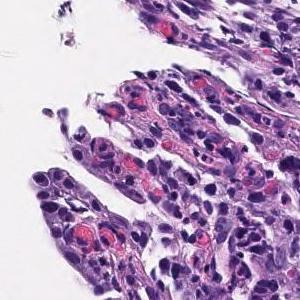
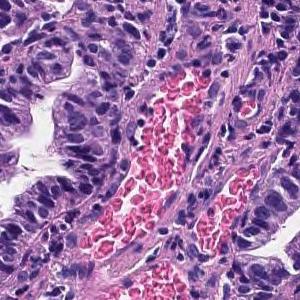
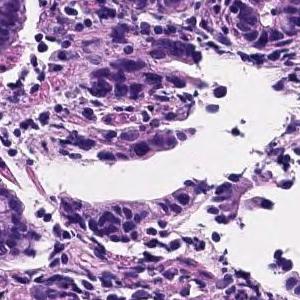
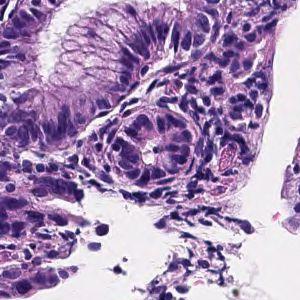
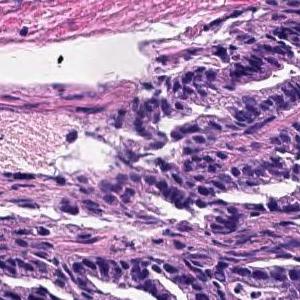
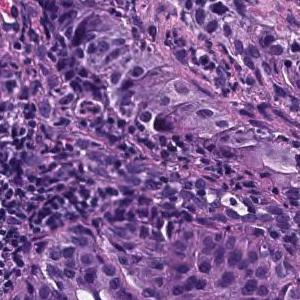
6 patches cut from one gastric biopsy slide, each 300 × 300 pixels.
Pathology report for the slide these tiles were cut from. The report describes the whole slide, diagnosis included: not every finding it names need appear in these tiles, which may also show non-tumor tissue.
The superficial tumors shows large papillary structures or large and small ducts and infiltrates. Papillary adenocarcinoma.
